12 tiles from the same stomach biopsy slide; 300×300 px each; hematoxylin and eosin stain; 20× magnification.
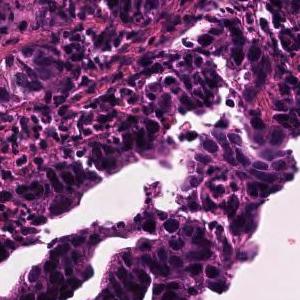
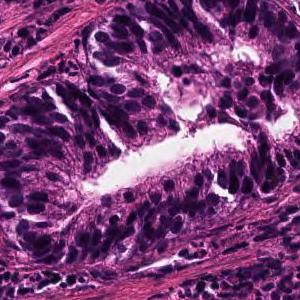
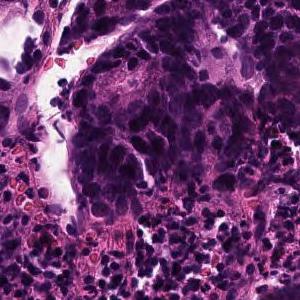
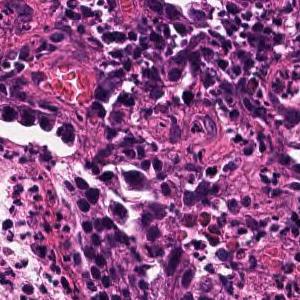
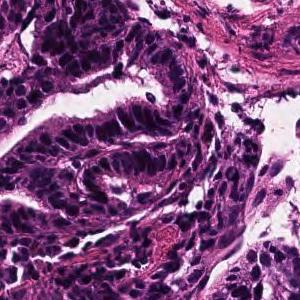
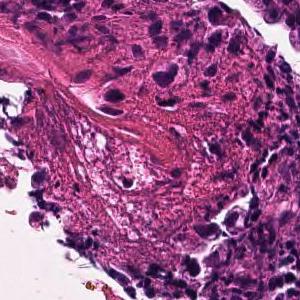
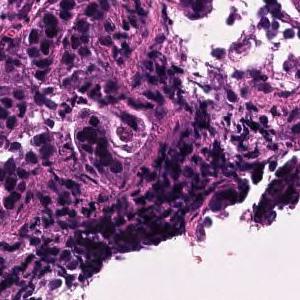
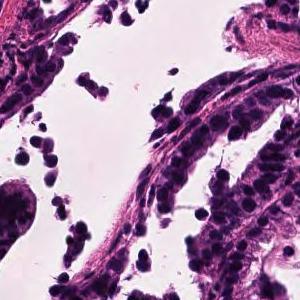
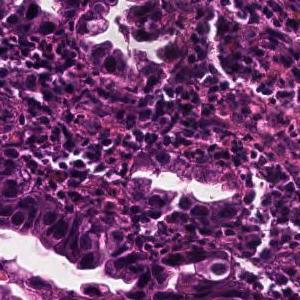
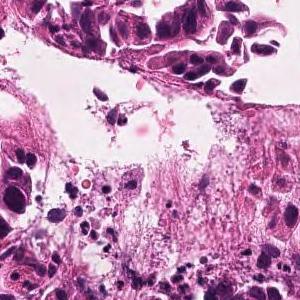
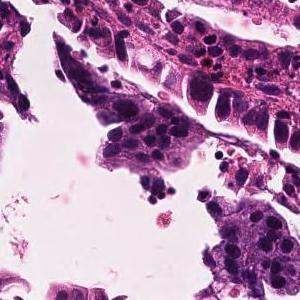
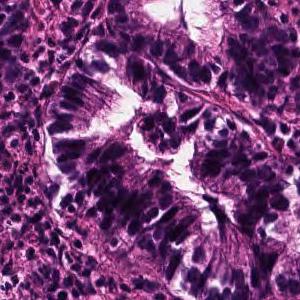
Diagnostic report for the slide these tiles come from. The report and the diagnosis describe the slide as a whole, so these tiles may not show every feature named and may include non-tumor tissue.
Tumor tissue consisting of large papillary structures is found in the superficial epithelium. Papillary adenocarcinoma.
